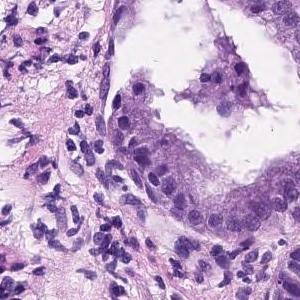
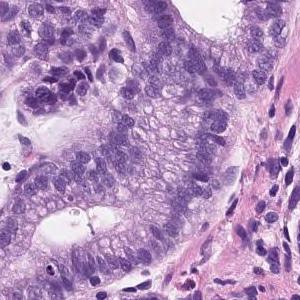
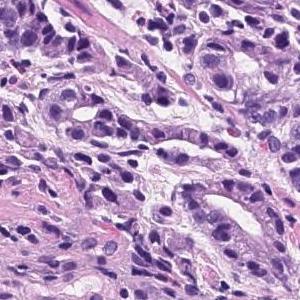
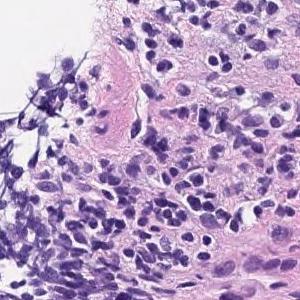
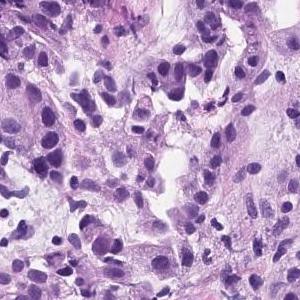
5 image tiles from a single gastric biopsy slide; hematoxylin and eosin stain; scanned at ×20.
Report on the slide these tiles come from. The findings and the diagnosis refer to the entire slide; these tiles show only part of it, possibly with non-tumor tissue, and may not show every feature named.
Tumor tissue consisting of medium-sized and irregular ducts is observed infiltrating in the superficial epithelium. Tumor cells are highly columnar, with nuclei aligned basolaterally and polarized. Well differentiated tubular adenocarcinoma.
